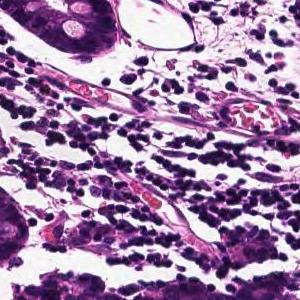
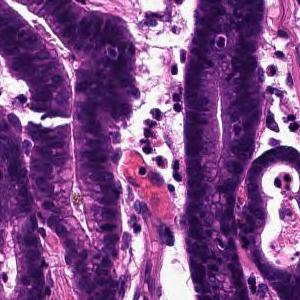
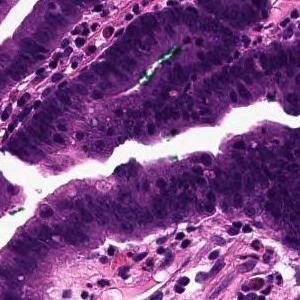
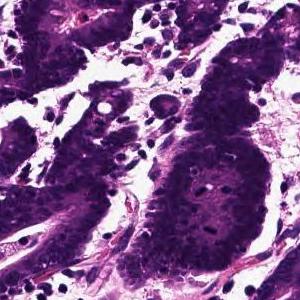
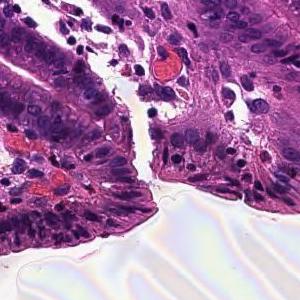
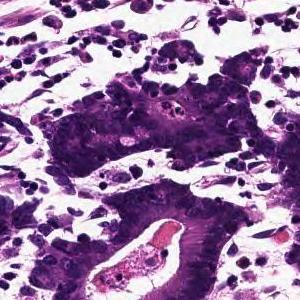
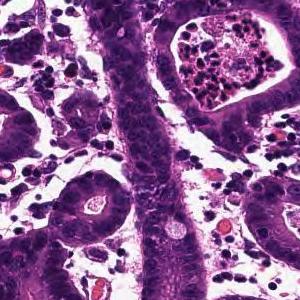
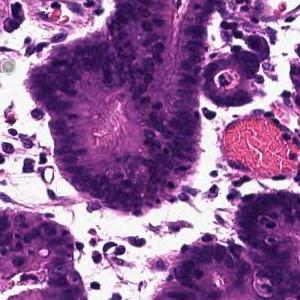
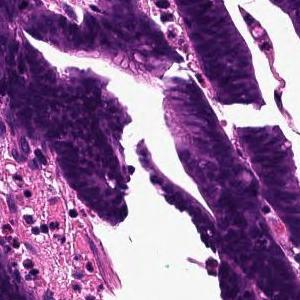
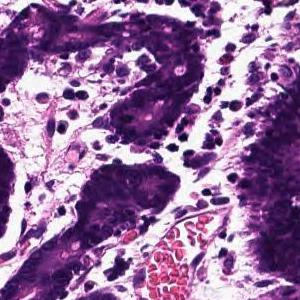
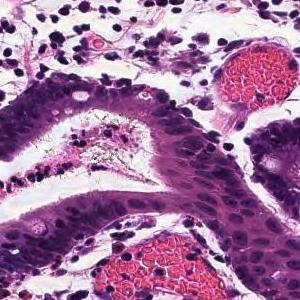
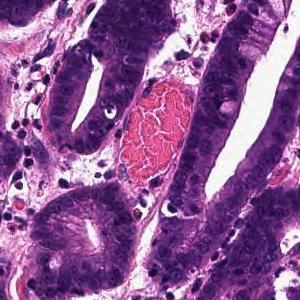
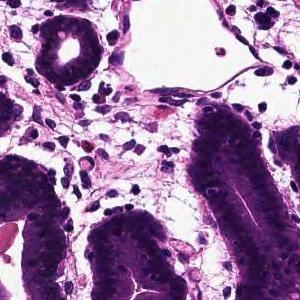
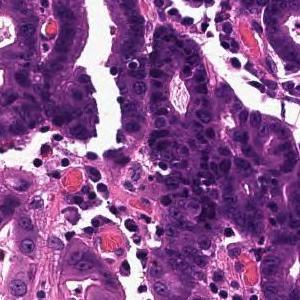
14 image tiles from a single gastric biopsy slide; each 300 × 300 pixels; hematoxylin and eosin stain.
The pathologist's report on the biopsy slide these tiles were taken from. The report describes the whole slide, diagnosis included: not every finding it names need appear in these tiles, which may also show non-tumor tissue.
Tumor tissue that infiltrates by forming large papillary or large irregular glandular ducts is observed confined to the mucosa. Papillary adenocarcinoma
